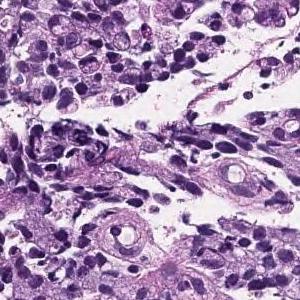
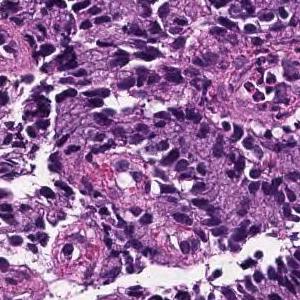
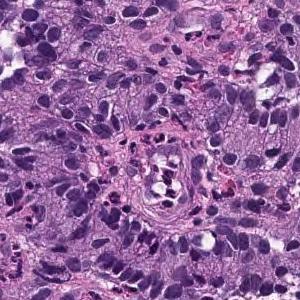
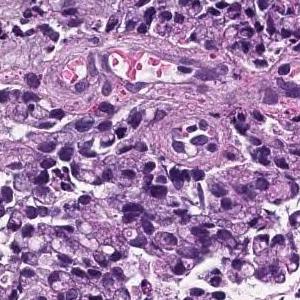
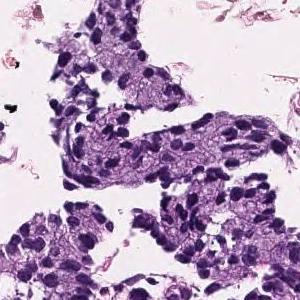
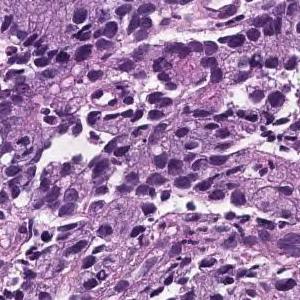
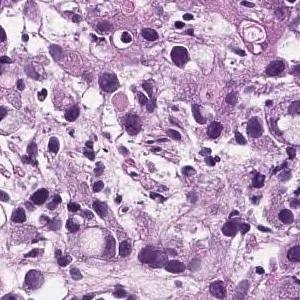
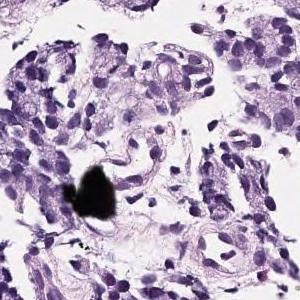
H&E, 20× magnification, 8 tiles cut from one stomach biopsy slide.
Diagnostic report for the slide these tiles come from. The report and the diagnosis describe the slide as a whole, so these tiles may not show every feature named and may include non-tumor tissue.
Tumor tissue infiltrated by irregular fusion of small cord-like structures is found in the superficial epithelium. Poorly differentiated adenocarcinoma, non-solid type
The term "non-solid type" comes from the Japanese Classification of Gastric Carcinoma.
